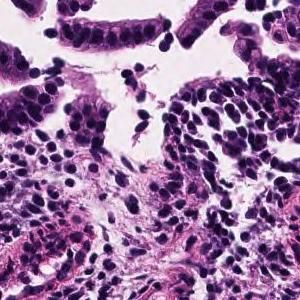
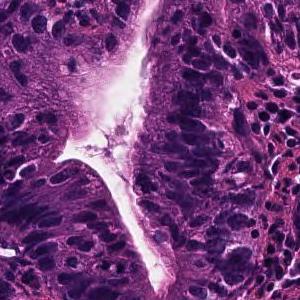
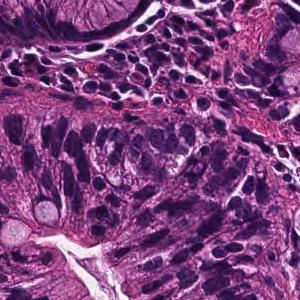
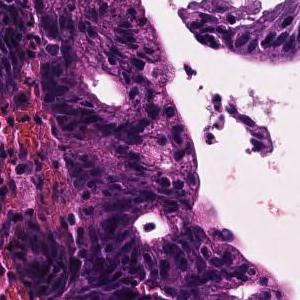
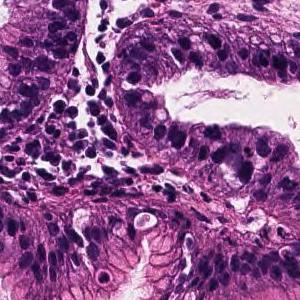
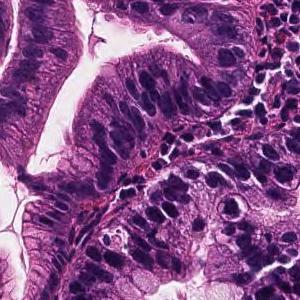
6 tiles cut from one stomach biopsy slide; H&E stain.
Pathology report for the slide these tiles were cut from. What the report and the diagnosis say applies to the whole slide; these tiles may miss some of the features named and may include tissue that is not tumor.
Tumor cells are large, highly columnar, large club-shaped nuclei, and are associated with chromatin aggregation. Papillary adenocarcinoma.
